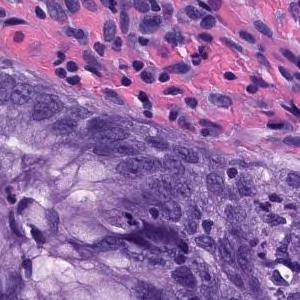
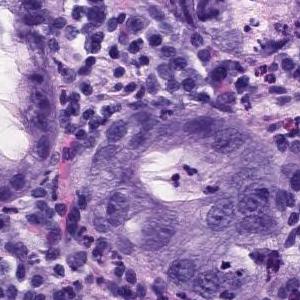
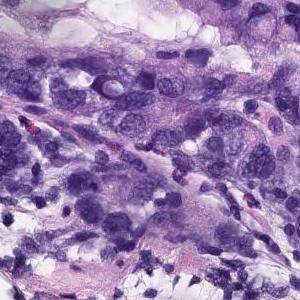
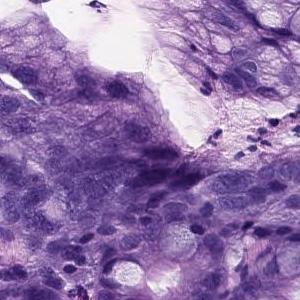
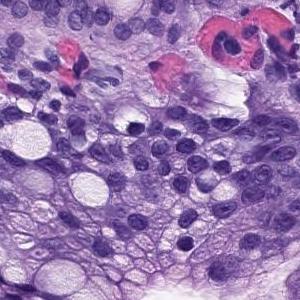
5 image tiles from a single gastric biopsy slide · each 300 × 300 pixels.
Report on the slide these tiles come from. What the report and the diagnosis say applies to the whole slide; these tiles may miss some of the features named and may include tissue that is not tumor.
There are large atypical epithelial cells infiltrating and proliferating while forming atypical glandular cavities showing a fusion tendency. Moderately differentiated tubular adenocarcinoma.
